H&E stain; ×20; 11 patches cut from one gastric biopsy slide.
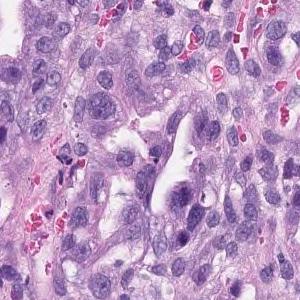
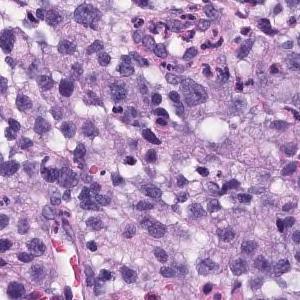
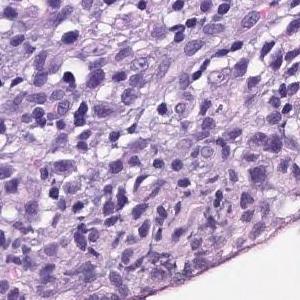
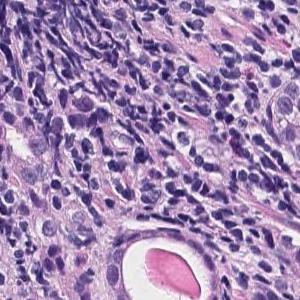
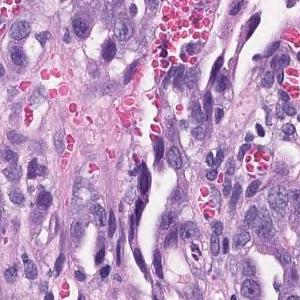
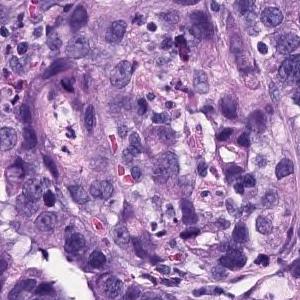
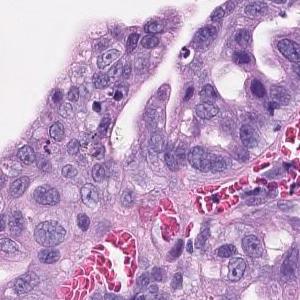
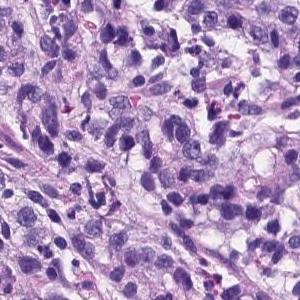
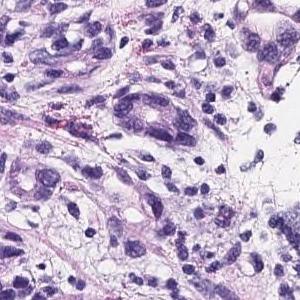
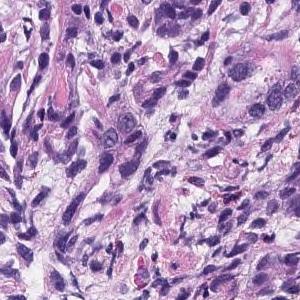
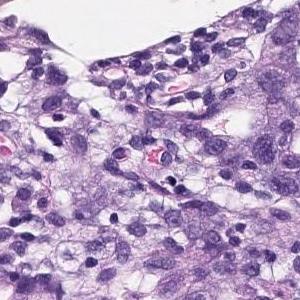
The pathologist's report on the biopsy slide these tiles were taken from. The findings and the diagnosis refer to the entire slide; these tiles show only part of it, possibly with non-tumor tissue, and may not show every feature named.
There are atypical l cells with atypical nuclei forming cord-like or irregular atypical ducts from solidity and proliferating in a comprehensive manner. Poorly differentiated adenocarcinoma, Moderately differentiated adenocarcinoma (poorly differentiated adenocarcinoma, solid type moderately differentiated tubular adenocarcinoma)
Tumor subtype: moderately to poorly differentiated adenocarcinoma.
"Solid type" is a category of the Japanese Classification of Gastric Carcinoma; in the WHO 2019 classification it is tubular adenocarcinoma, poorly differentiated.
